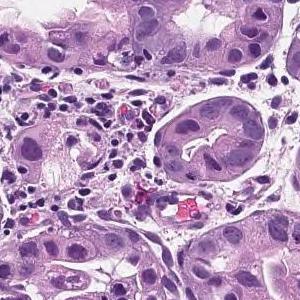
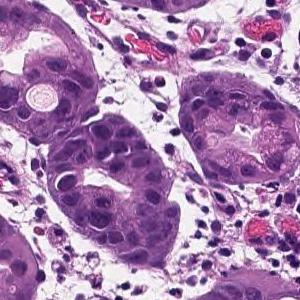
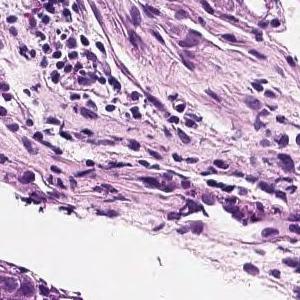
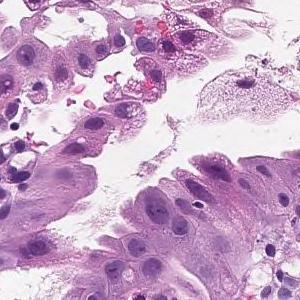
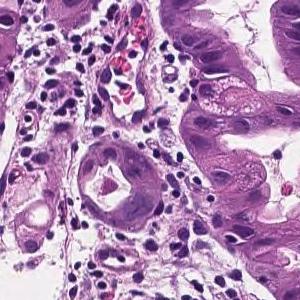
5 tiles from the same stomach biopsy slide; 300 × 300 pixels each.
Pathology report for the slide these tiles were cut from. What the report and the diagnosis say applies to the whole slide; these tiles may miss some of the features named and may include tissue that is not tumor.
On the superficial epithelium, tumor tissue that infiltrates by forming medium-sized papillary or small irregular ducts is observed. Papillary adenocarcinoma
